20× magnification · 6 tiles from the same stomach biopsy slide · 300×300 px each.
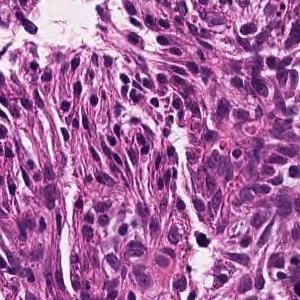
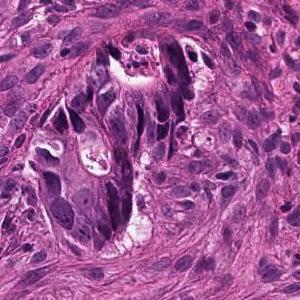
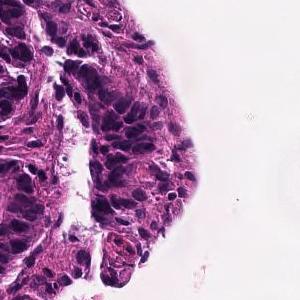
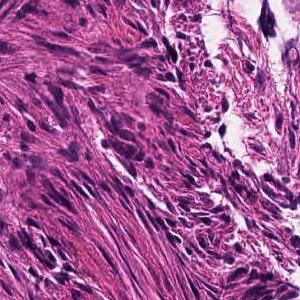
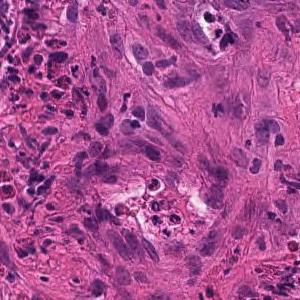
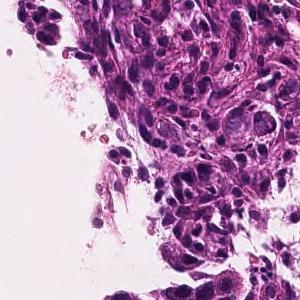
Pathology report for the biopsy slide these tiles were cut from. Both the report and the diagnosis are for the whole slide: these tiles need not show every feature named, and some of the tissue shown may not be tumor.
In the superficial epithelium, tumor tissue that invades by forming medium-sized to small, irregular ducts is observed. moderately differentiated tubular adenocarcinoma.
